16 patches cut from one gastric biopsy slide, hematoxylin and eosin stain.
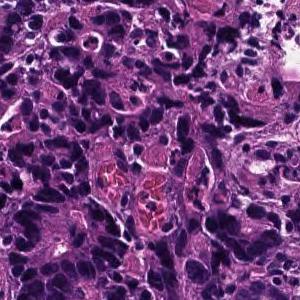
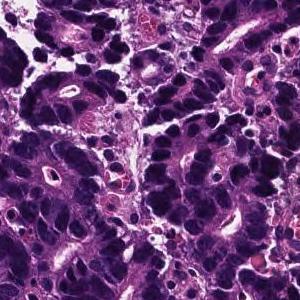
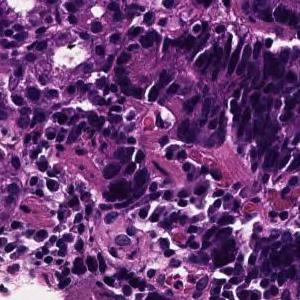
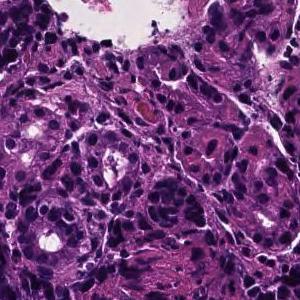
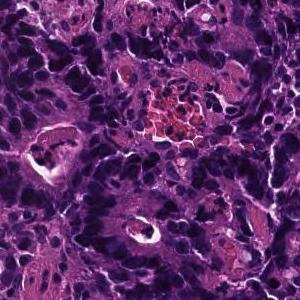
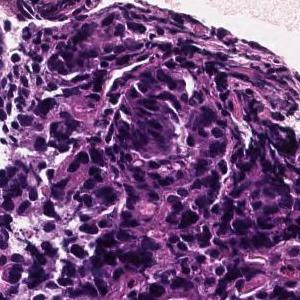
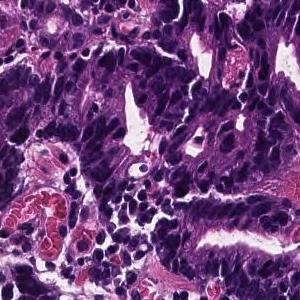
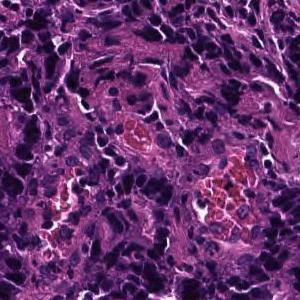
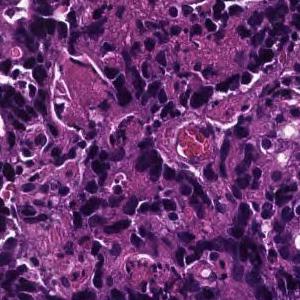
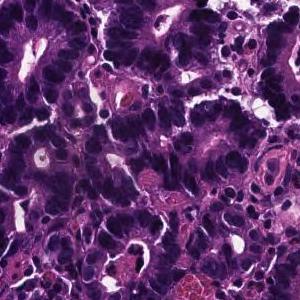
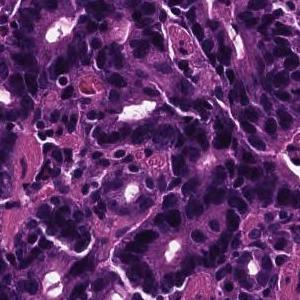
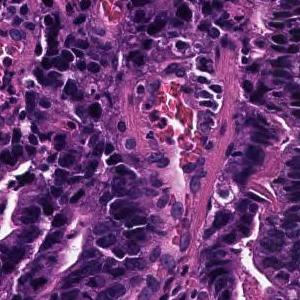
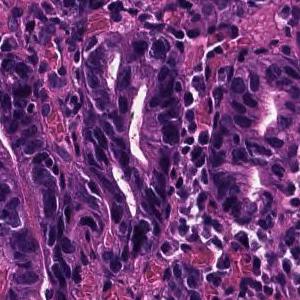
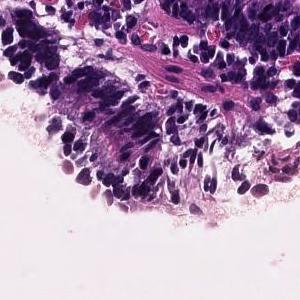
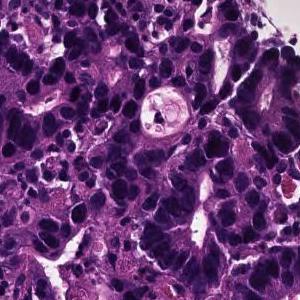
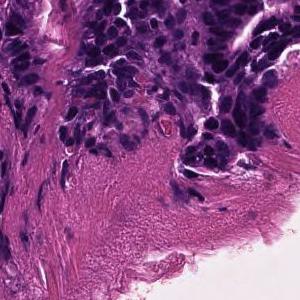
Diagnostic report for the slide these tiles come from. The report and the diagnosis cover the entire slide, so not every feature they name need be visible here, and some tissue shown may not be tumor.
On the superficial epithelium, tumor tissue consisting of large, irregular glandular ducts partially fused and infiltrated is observed. Well to moderately differentiated tubular adenocarcinoma (well differentiated tubular adenocarcinoma, moderately differentiated tubular adenocarcinoma)
Histologic type: Well to moderately differentiated tubular adenocarcinoma.
